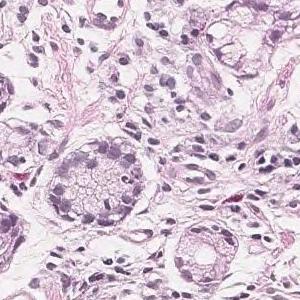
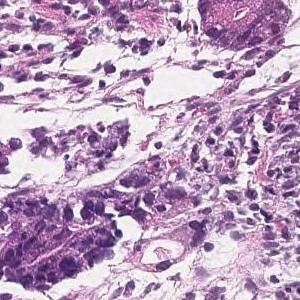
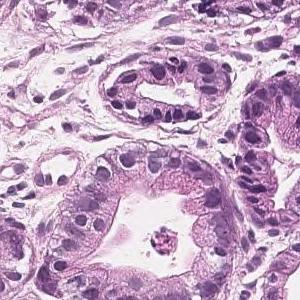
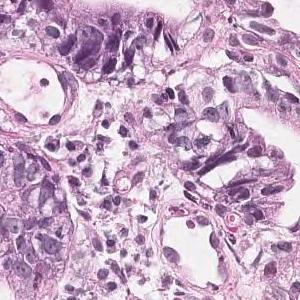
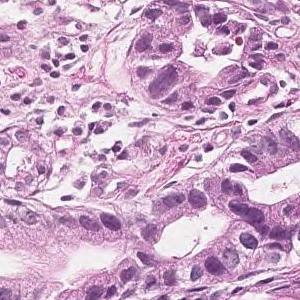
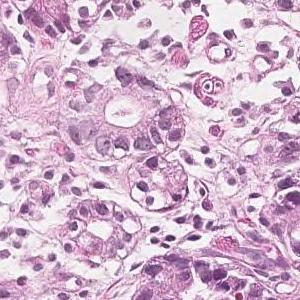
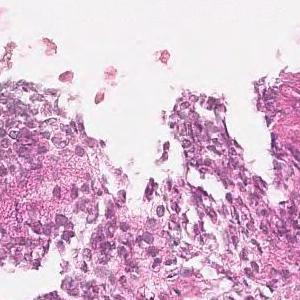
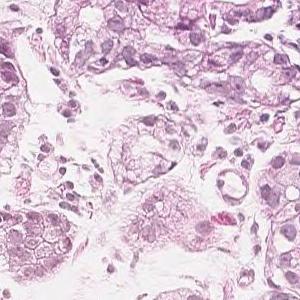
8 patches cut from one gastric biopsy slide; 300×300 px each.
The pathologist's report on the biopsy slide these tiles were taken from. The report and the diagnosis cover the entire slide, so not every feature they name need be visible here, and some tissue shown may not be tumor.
In the superficial epithelium, tumor tissue that invades by forming medium-sized to small, irregular ducts is observed. moderately differentiated tubular adenocarcinoma.
